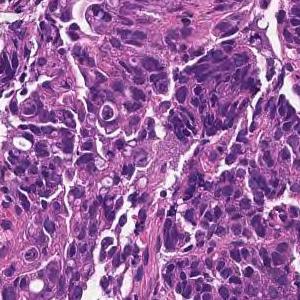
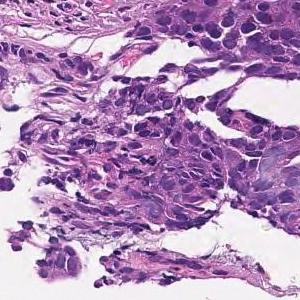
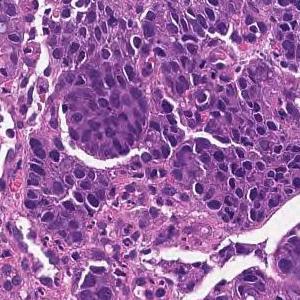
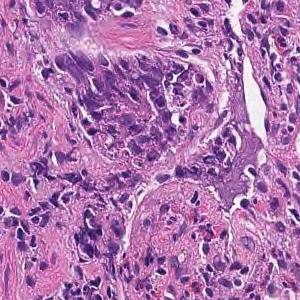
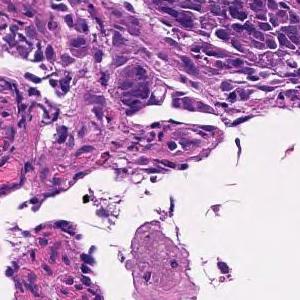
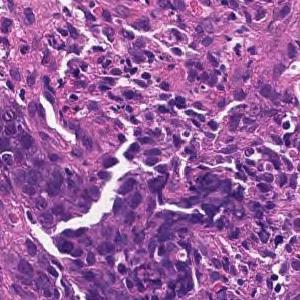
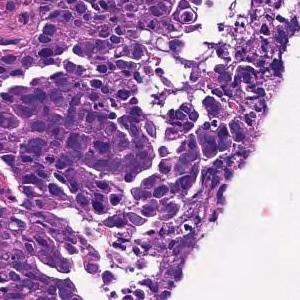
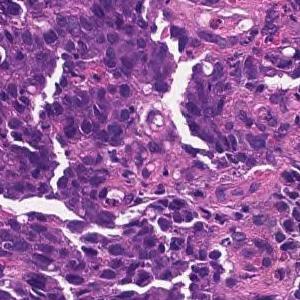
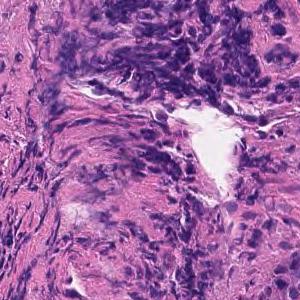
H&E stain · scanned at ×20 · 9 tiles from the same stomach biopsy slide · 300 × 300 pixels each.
Pathology report for the slide these tiles were cut from. The report and the diagnosis cover the entire slide, so not every feature they name need be visible here, and some tissue shown may not be tumor.
Tumor tissue consisting of cord-like or small, irregular glandular ducts fused and infiltrated is observed in the superficial epithelium. Poorly differentiated adenocarcinoma, non-solid type
The non-solid type named here is a Japanese Classification of Gastric Carcinoma category.
